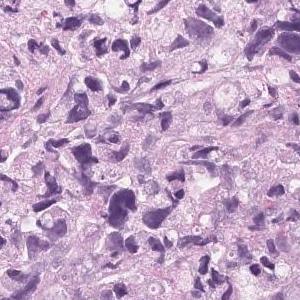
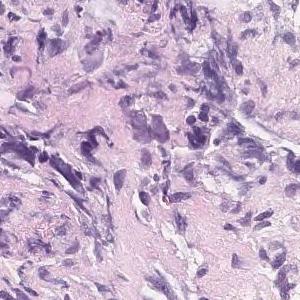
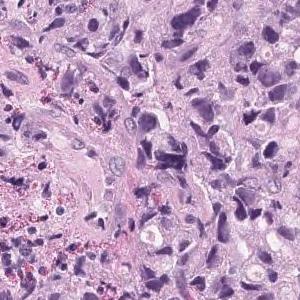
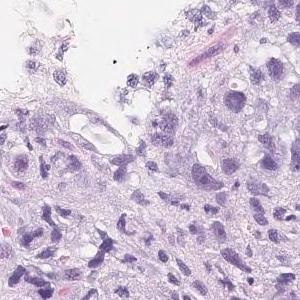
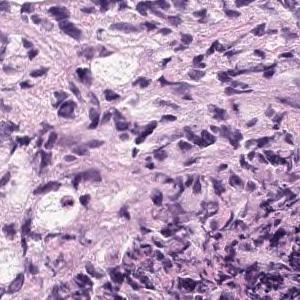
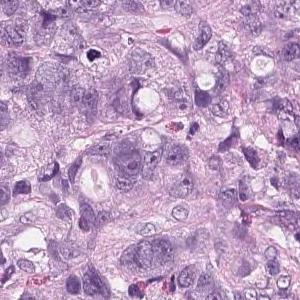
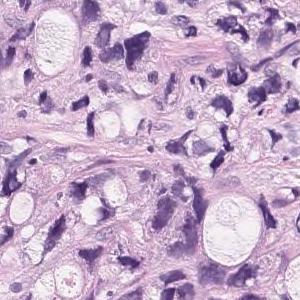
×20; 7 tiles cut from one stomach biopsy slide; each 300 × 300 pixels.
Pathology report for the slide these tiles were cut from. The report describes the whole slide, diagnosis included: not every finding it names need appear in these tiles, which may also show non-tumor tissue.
Tumor tissue that infiltrates and proliferates by forming small glandular cavities in the superficial layer to the submucosa or forming a mass is observed. moderately differentiated tubular adenocarcinoma
